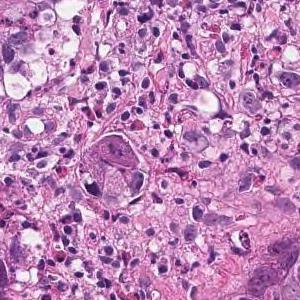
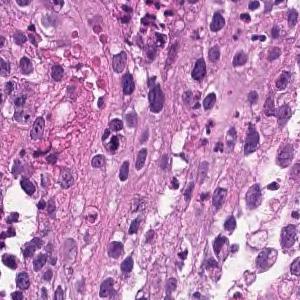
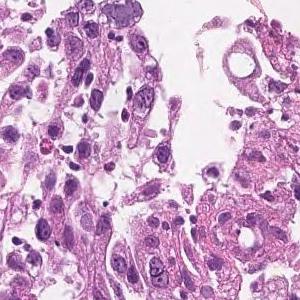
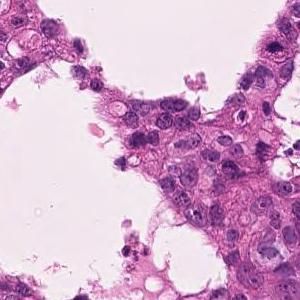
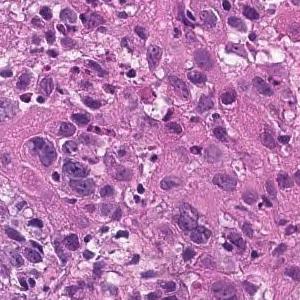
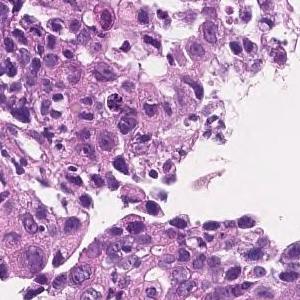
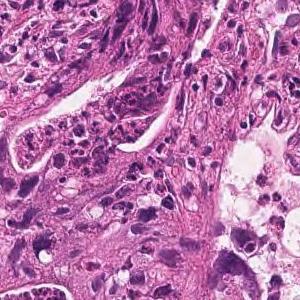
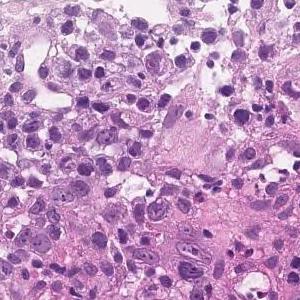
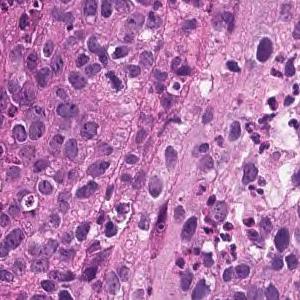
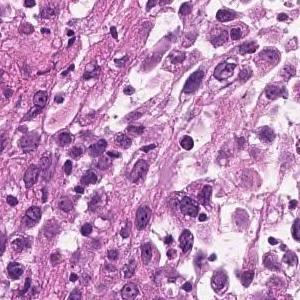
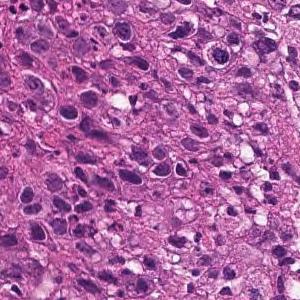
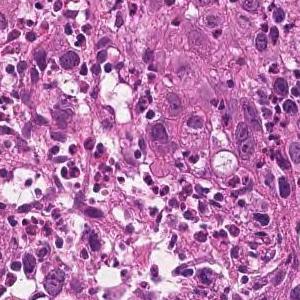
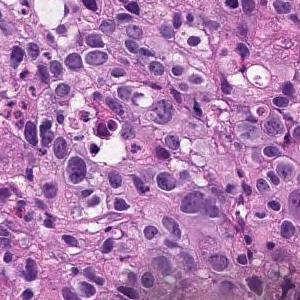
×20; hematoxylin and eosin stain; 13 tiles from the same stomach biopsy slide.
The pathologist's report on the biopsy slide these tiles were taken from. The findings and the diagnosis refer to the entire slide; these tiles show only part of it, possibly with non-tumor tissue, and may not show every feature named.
The superficial epithelium shows a large sheet-like shape, and some tumor tissue infiltrates with small irregular ducts. Poorly differentiated adenocarcinoma, solid-type
Classified as poorly differentiated adenocarcinoma, solid type, a category of the Japanese Classification of Gastric Carcinoma; in the WHO 2019 classification it is tubular adenocarcinoma, poorly differentiated.
